11 patches cut from one gastric biopsy slide · 300×300 px each · hematoxylin and eosin stain.
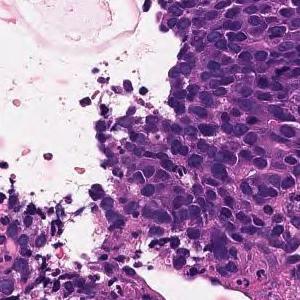
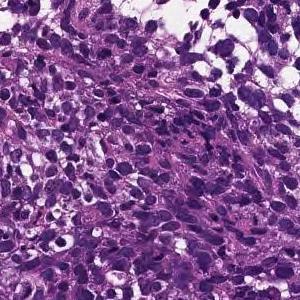
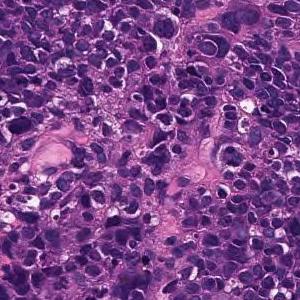
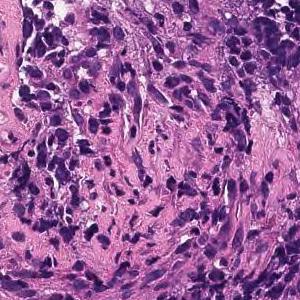
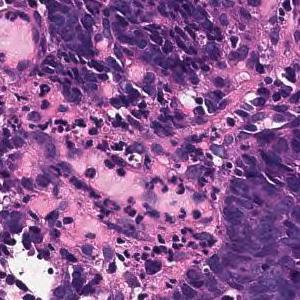
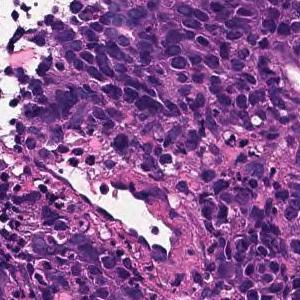
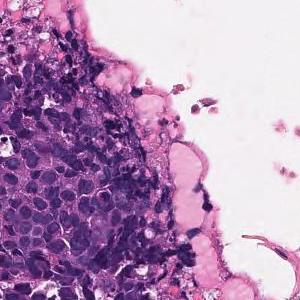
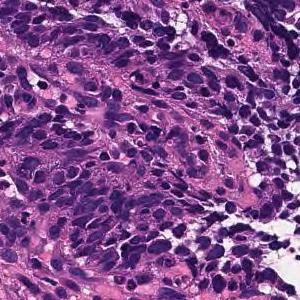
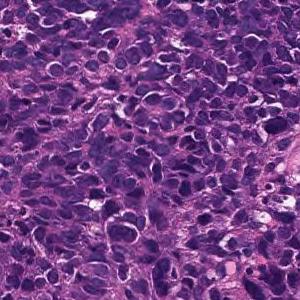
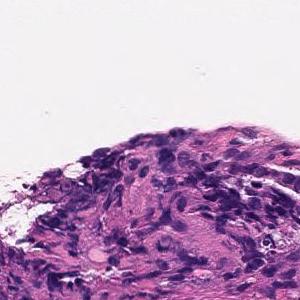
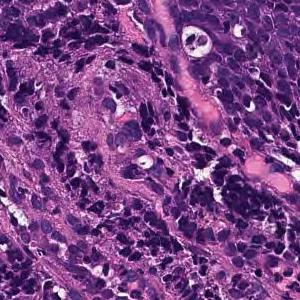
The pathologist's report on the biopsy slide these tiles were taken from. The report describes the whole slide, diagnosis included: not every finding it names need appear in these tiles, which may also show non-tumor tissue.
Large sheet-like or diffusely infiltrating tumor tissue is found in the superficial epithelium. Poorly differentiated adenocarcinoma, solid-type
Histological subtype: Poorly differentiated adenocarcinoma, solid type, a category of the Japanese Classification of Gastric Carcinoma; in the WHO 2019 classification it is tubular adenocarcinoma, poorly differentiated.
